15 image tiles from a single gastric biopsy slide, 300 × 300 pixels each, hematoxylin and eosin stain.
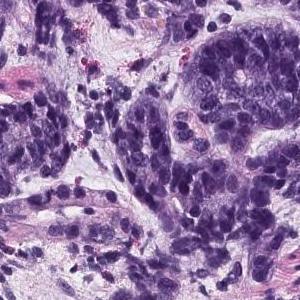
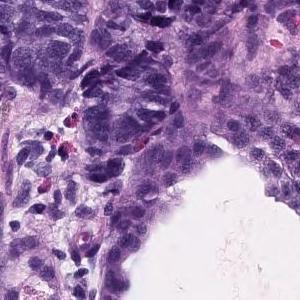
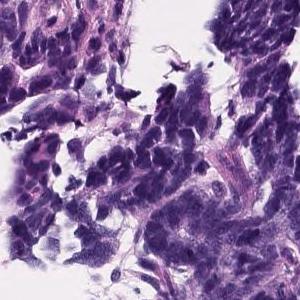
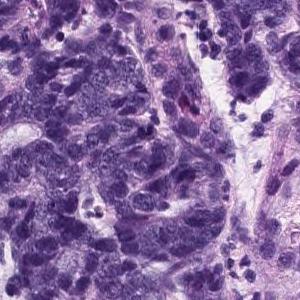
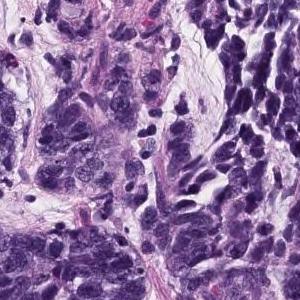
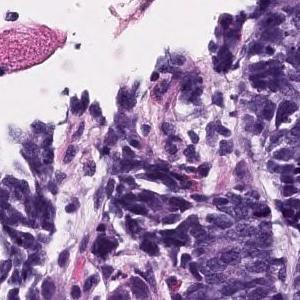
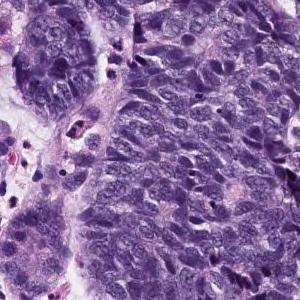
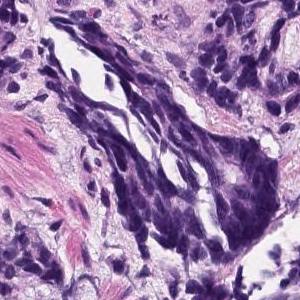
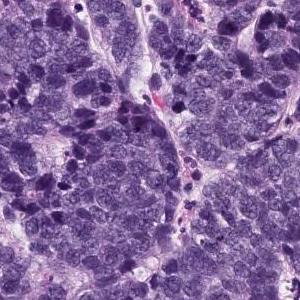
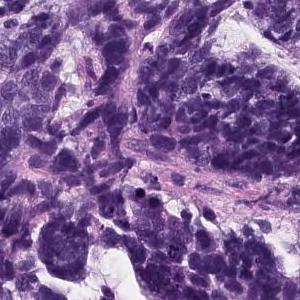
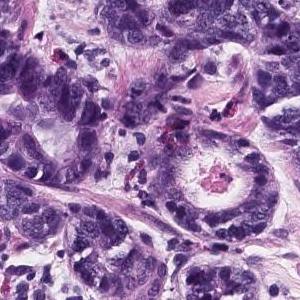
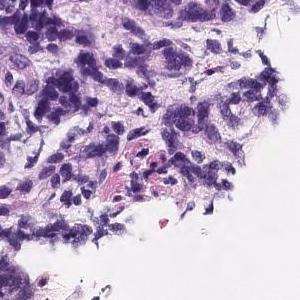
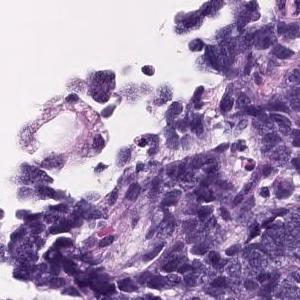
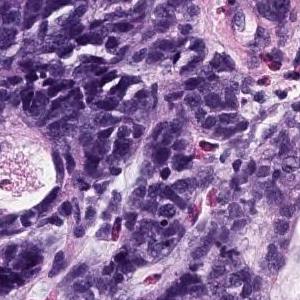
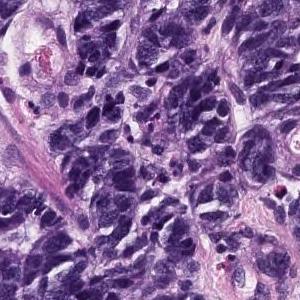
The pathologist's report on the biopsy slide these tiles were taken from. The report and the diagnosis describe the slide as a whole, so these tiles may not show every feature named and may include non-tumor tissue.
Group 5, Adenocarcinoma. Moderately to poorly differentiated adenocarcinoma
